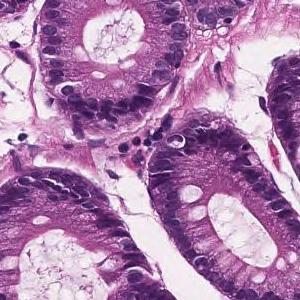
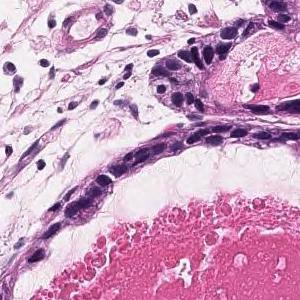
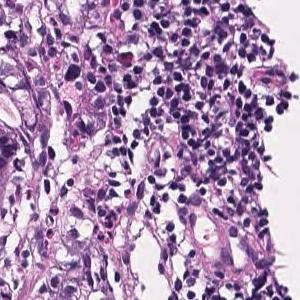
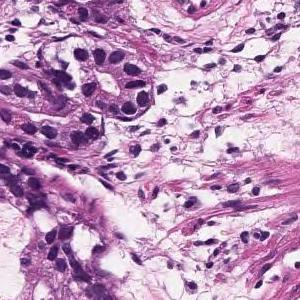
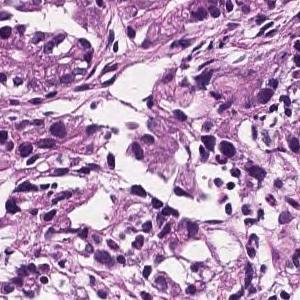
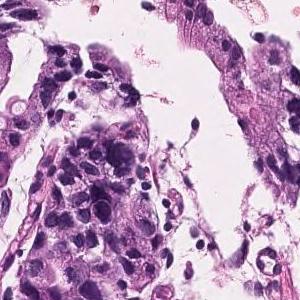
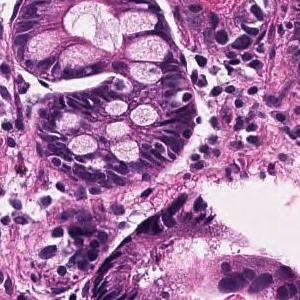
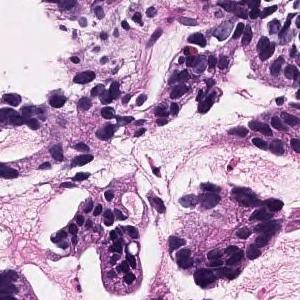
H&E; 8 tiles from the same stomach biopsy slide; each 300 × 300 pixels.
Pathology report for the biopsy slide these tiles were cut from. The report and the diagnosis cover the entire slide, so not every feature they name need be visible here, and some tissue shown may not be tumor.
Tumor tissue consisting of medium-sized and irregular ducts is observed infiltrating in the superficial epithelium. Tumor cells are highly columnar, with nuclei aligned basolaterally and polarized. Well differentiated tubular adenocarcinoma.
